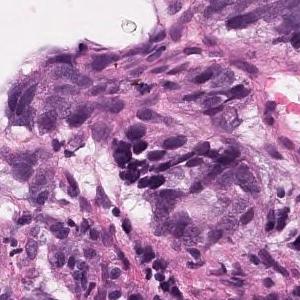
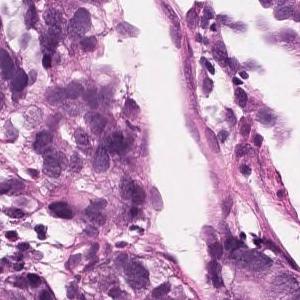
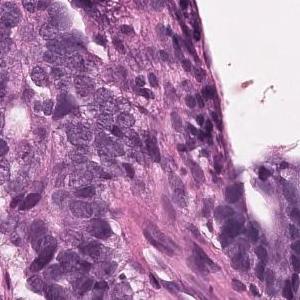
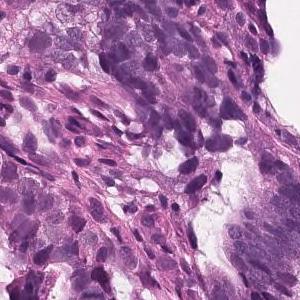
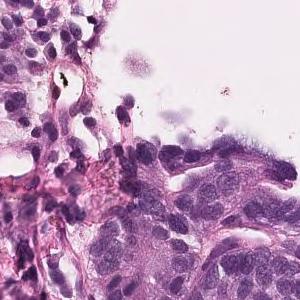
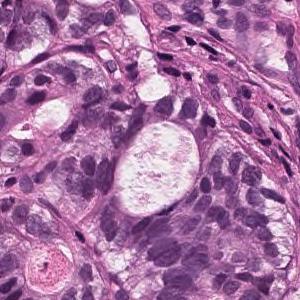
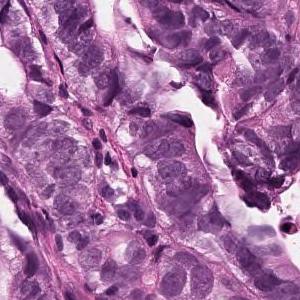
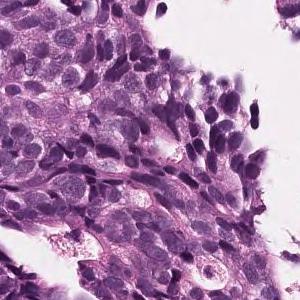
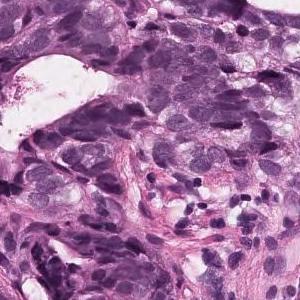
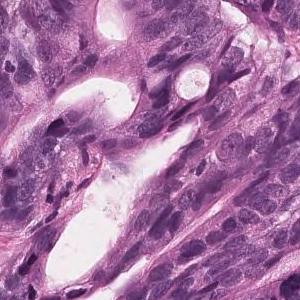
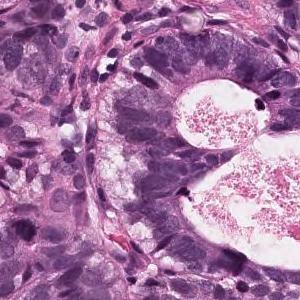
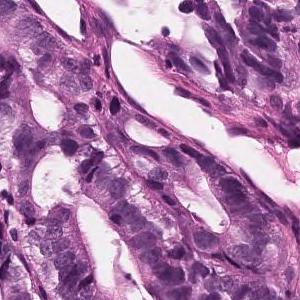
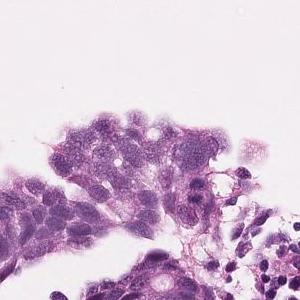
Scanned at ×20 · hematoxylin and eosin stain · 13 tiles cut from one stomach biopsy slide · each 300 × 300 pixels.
Pathology report for the biopsy slide these tiles were cut from. The report describes the whole slide, diagnosis included: not every finding it names need appear in these tiles, which may also show non-tumor tissue.
On the superficial epithelium, tumor tissue consisting of large, irregular glandular ducts partially fused and infiltrated is observed. Well to moderately differentiated tubular adenocarcinoma (well differentiated tubular adenocarcinoma, moderately differentiated tubular adenocarcinoma)
Histological subtype: Well to moderately differentiated tubular adenocarcinoma.
